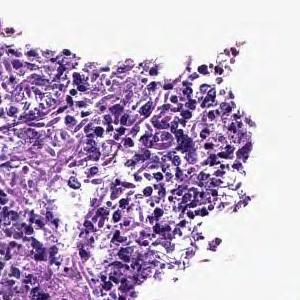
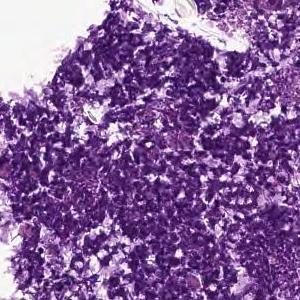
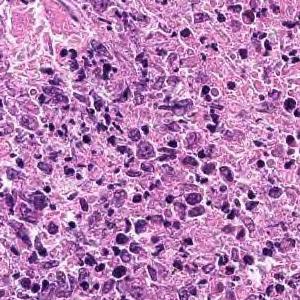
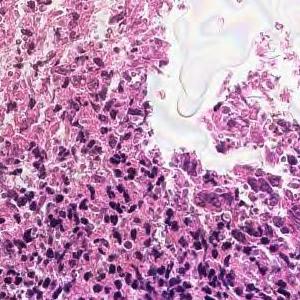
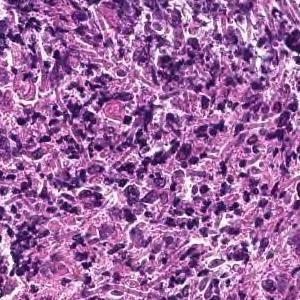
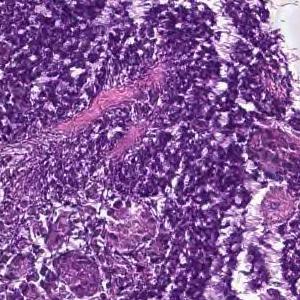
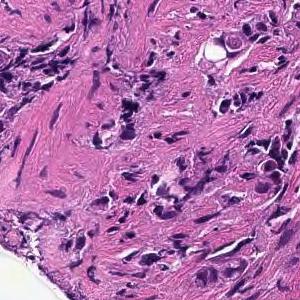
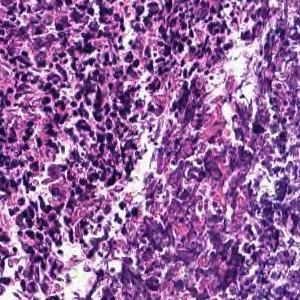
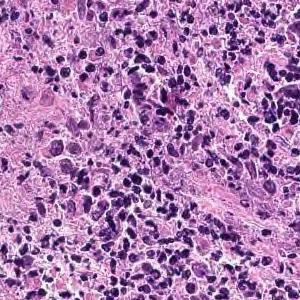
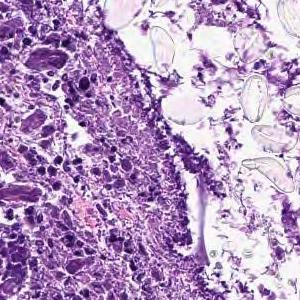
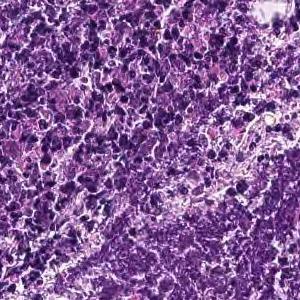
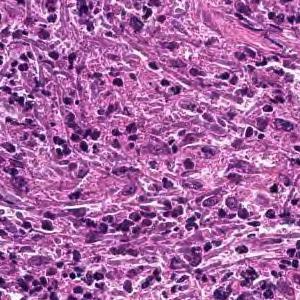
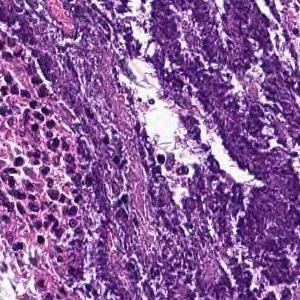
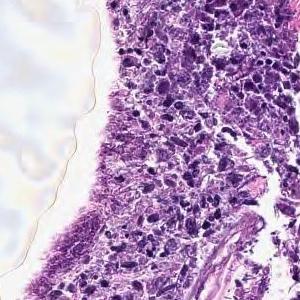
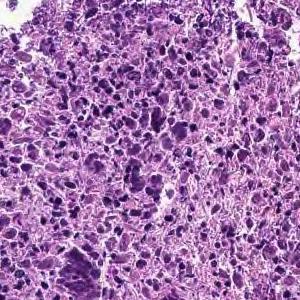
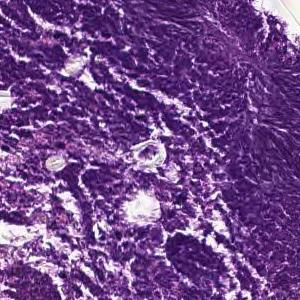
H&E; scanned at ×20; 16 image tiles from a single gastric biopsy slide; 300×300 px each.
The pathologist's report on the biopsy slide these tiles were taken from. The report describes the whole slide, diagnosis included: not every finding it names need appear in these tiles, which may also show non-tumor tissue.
Cancers with polygonal nuclei do not show glandular formation and are densely, in part, cord-like and proliferate. Poorly differentiated adenocarcinoma
Histological subtype: Poorly differentiated adenocarcinoma, non-solid type.
The term "non-solid type" comes from the Japanese Classification of Gastric Carcinoma.
